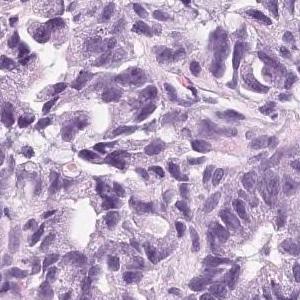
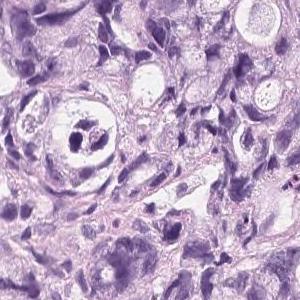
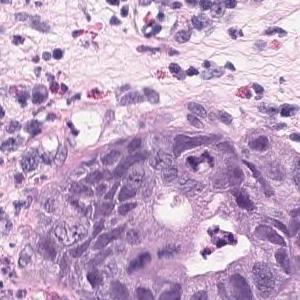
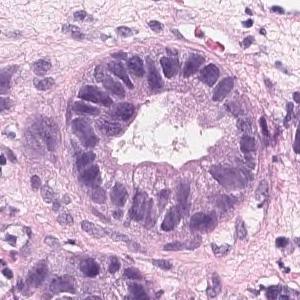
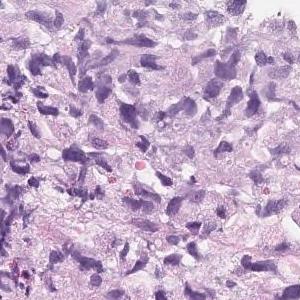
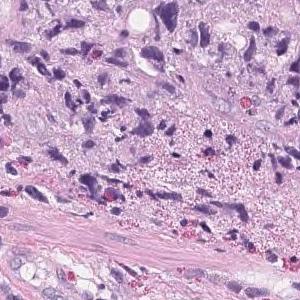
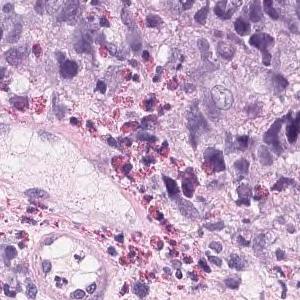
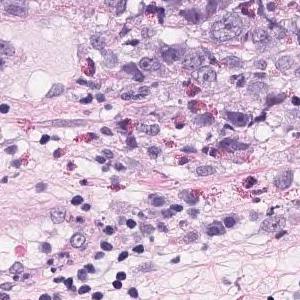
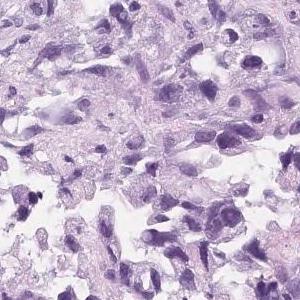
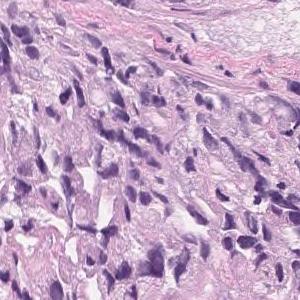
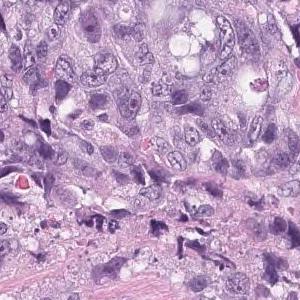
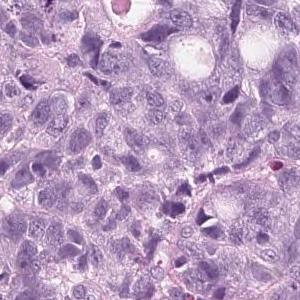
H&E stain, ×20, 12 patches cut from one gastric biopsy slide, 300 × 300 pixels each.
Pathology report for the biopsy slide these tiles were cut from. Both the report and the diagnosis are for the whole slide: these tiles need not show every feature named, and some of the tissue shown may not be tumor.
Tumor tissue that infiltrates and proliferates by forming small glandular cavities in the superficial layer to the submucosa or forming a mass is observed. moderately differentiated tubular adenocarcinoma
